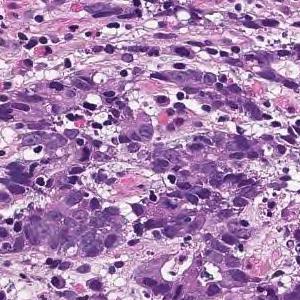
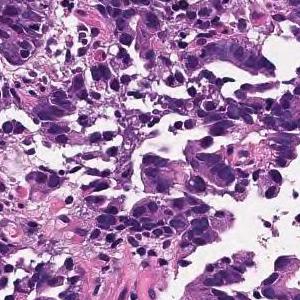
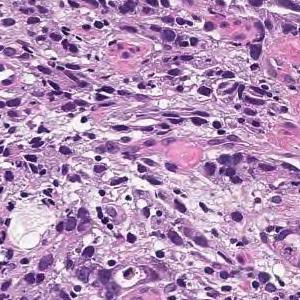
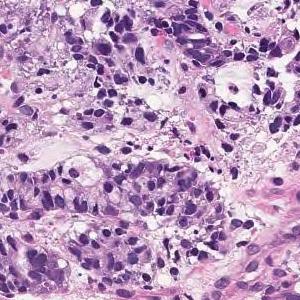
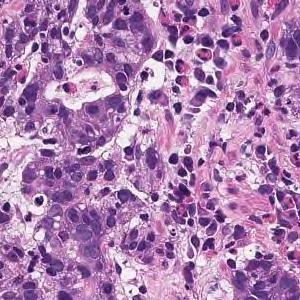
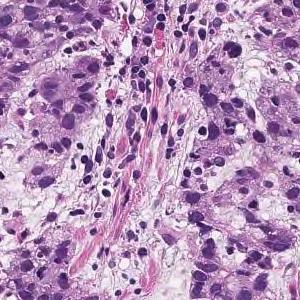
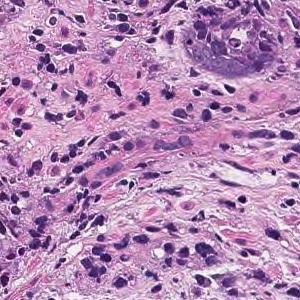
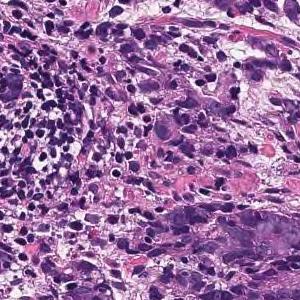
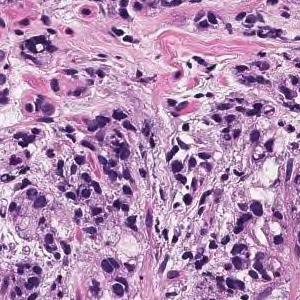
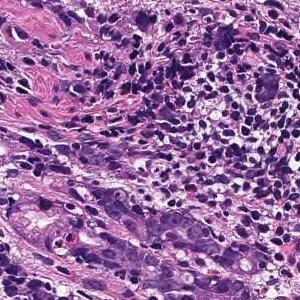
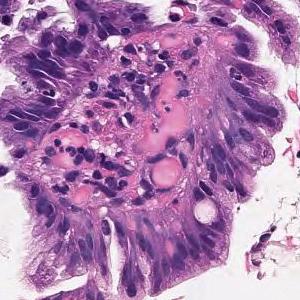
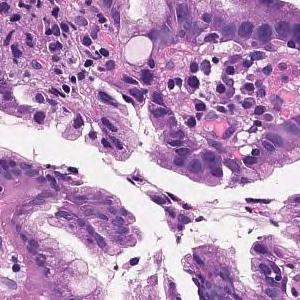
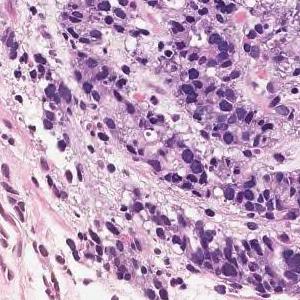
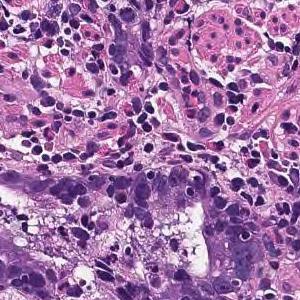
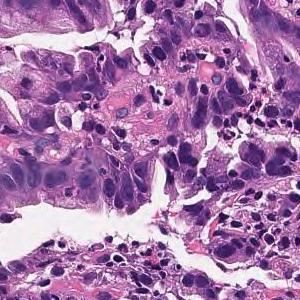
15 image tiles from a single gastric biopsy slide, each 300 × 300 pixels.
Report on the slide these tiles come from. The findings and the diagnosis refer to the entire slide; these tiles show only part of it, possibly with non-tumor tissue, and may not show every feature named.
Tumor tissue consisting of cord-like or small, irregular glandular ducts fused and infiltrated is observed in the superficial epithelium. Poorly differentiated adenocarcinoma, non-solid type
The non-solid type named here is a Japanese Classification of Gastric Carcinoma category.
